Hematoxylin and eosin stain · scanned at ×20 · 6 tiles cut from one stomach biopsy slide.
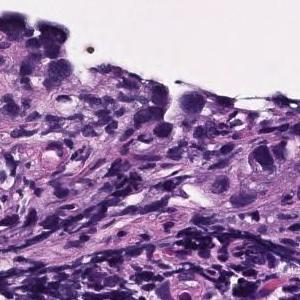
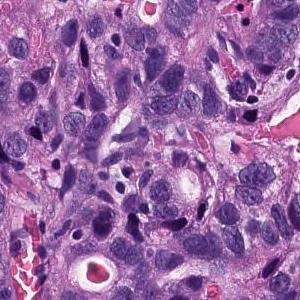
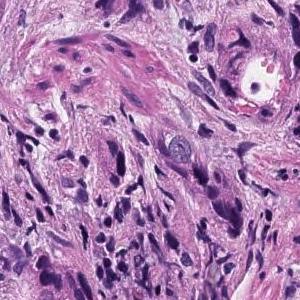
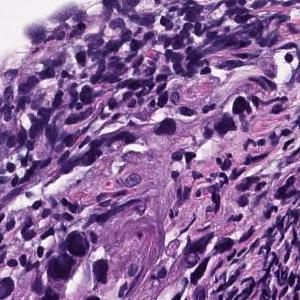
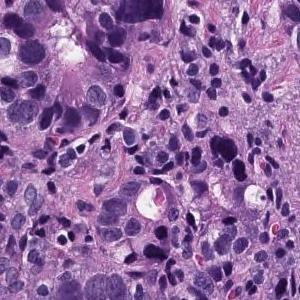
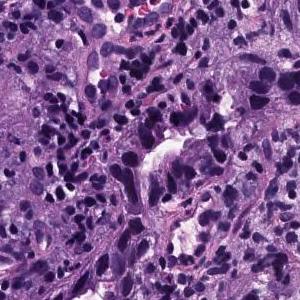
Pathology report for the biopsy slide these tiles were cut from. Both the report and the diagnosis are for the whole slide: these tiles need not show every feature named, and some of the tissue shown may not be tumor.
In the epithelium, tumor tissue in which medium to small irregular gland ducts fuse with each other and infiltrate the submucosa. moderately differentiated tubular adenocarcinoma
